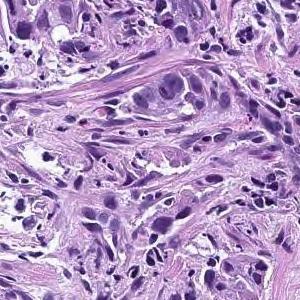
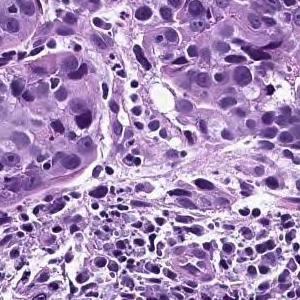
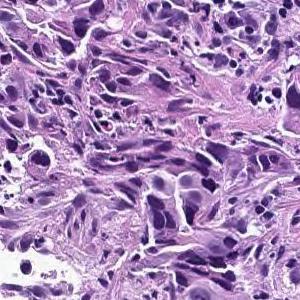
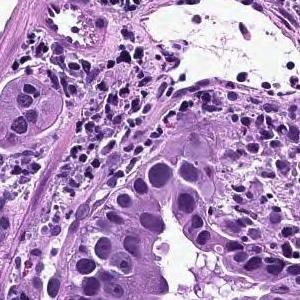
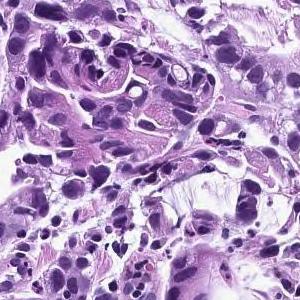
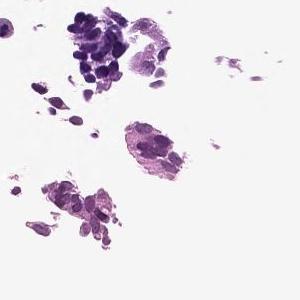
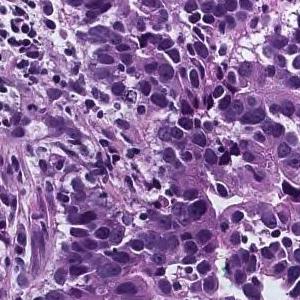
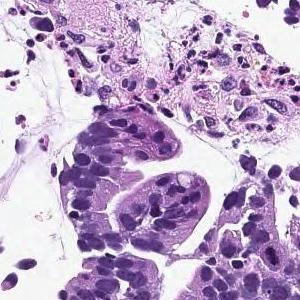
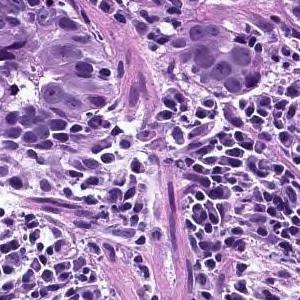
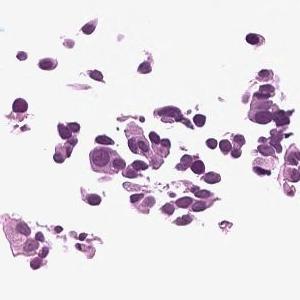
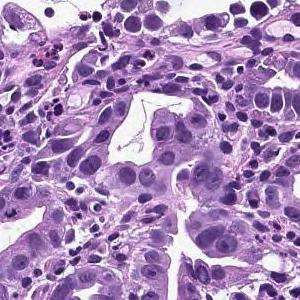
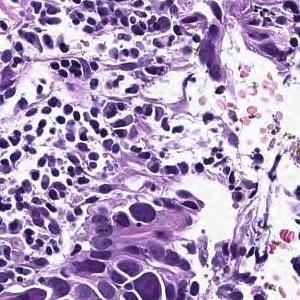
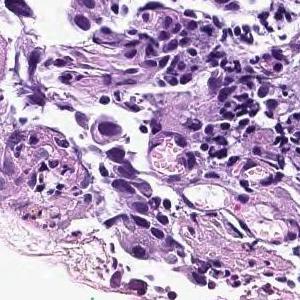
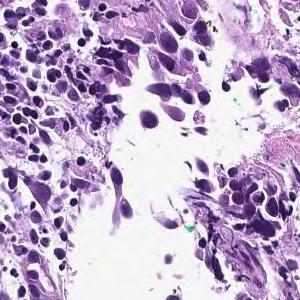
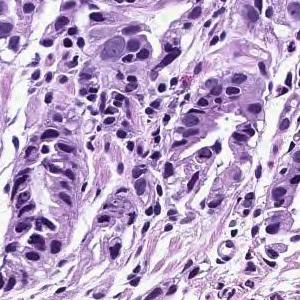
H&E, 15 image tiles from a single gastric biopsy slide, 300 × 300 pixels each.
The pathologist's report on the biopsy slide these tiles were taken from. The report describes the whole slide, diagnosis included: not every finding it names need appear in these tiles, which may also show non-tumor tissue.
In the superficial epithelium, tumor tissue that invades by forming medium-sized to small, irregular ducts is observed. moderately differentiated tubular adenocarcinoma.
